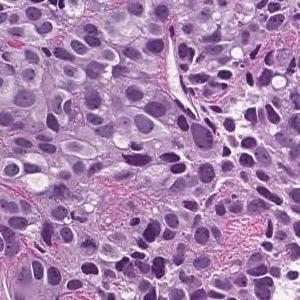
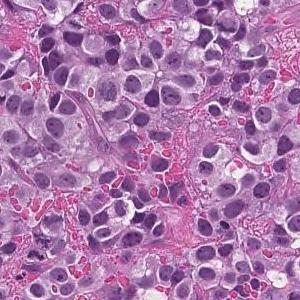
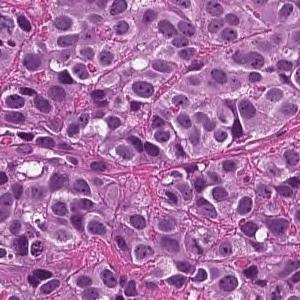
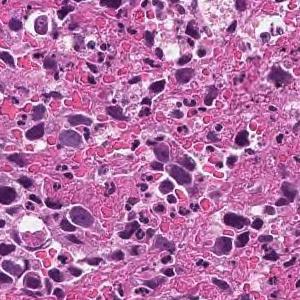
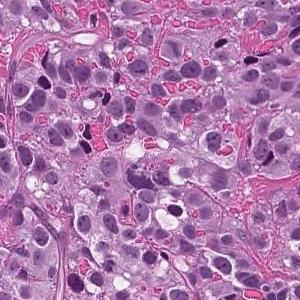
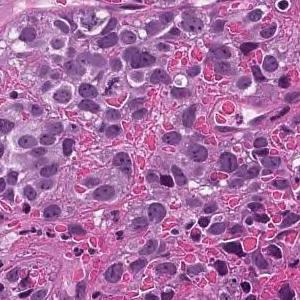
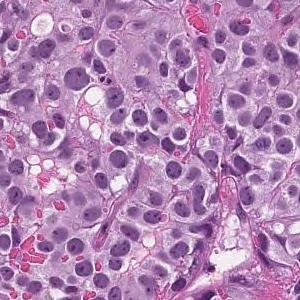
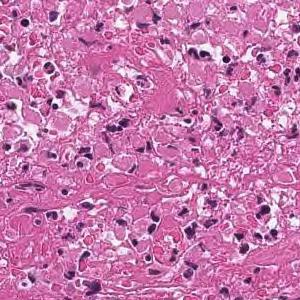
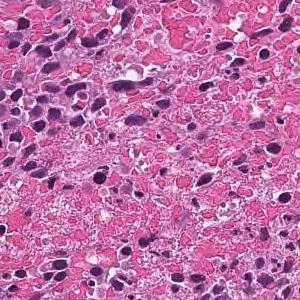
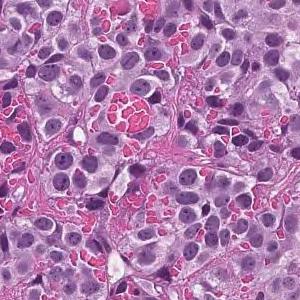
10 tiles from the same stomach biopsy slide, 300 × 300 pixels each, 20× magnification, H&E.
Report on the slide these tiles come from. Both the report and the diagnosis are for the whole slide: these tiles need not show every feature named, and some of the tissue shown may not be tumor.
The superficial epithelium shows a large sheet-like shape, and some tumor tissue infiltrates with small irregular ducts. Poorly differentiated adenocarcinoma, solid-type
Subtype: Poorly differentiated adenocarcinoma, solid type, a category of the Japanese Classification of Gastric Carcinoma; in the WHO 2019 classification it is tubular adenocarcinoma, poorly differentiated.
